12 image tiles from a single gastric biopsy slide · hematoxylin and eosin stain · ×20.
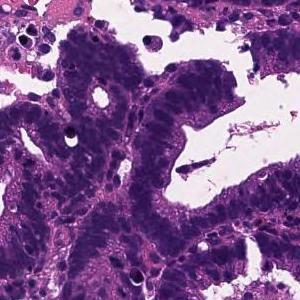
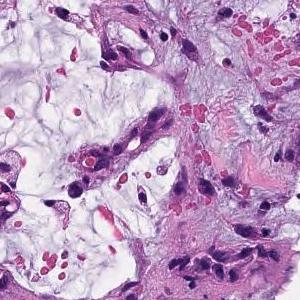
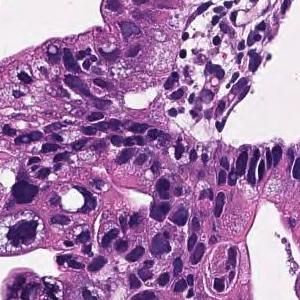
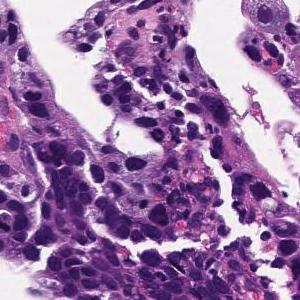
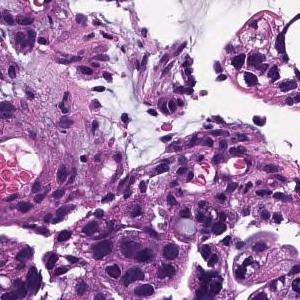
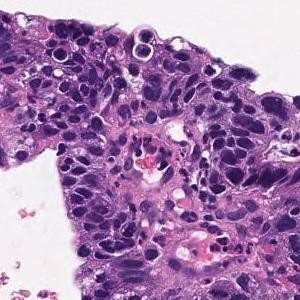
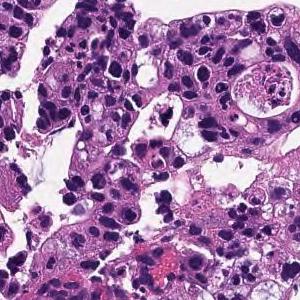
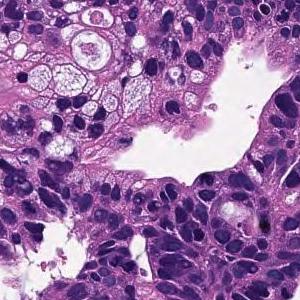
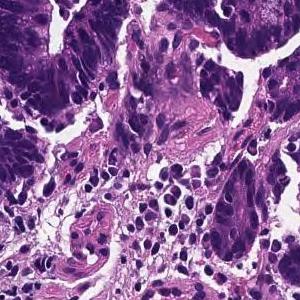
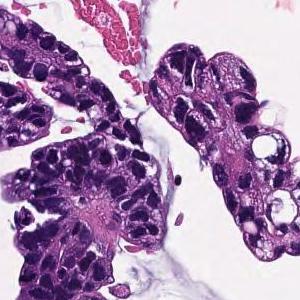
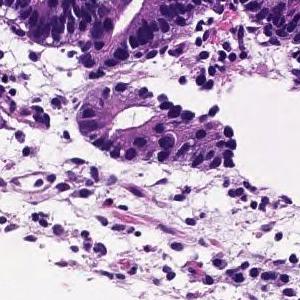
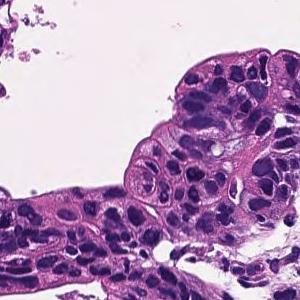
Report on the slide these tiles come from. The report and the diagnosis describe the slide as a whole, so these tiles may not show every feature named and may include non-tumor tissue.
In the superficial epithelium, tumor tissue that invades by forming medium-sized to small, irregular ducts is observed. moderately differentiated tubular adenocarcinoma.
